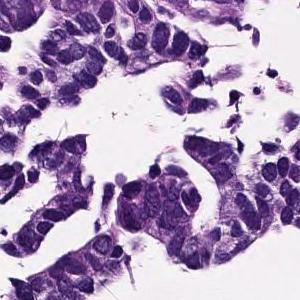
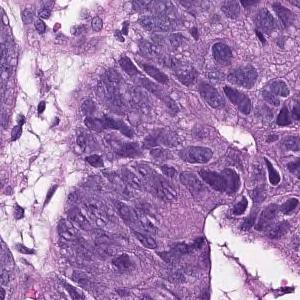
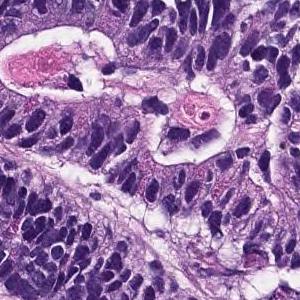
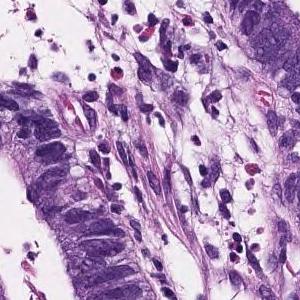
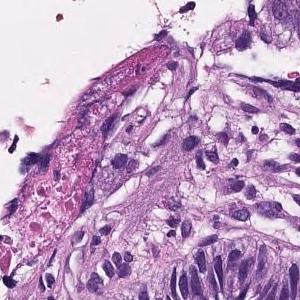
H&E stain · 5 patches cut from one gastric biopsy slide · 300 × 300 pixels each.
Report on the slide these tiles come from. The report describes the whole slide, diagnosis included: not every finding it names need appear in these tiles, which may also show non-tumor tissue.
In the superficial epithelium, tumor tissue that invades by forming medium-sized to small, irregular ducts is observed. moderately differentiated tubular adenocarcinoma.
